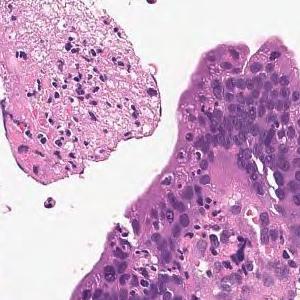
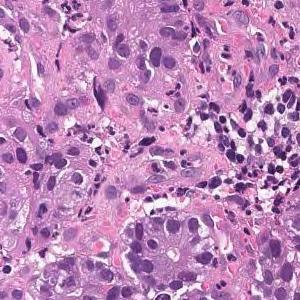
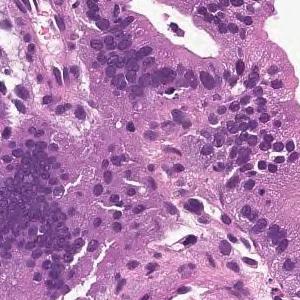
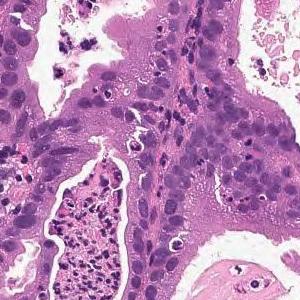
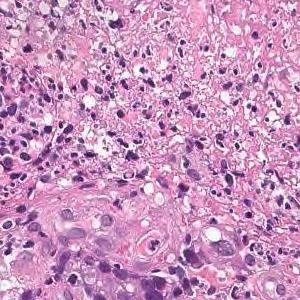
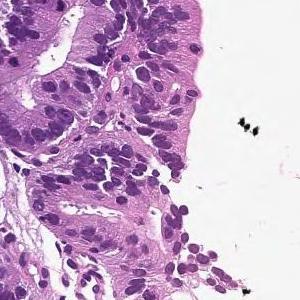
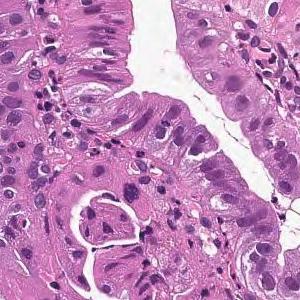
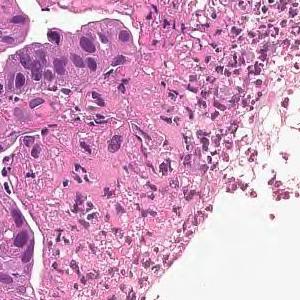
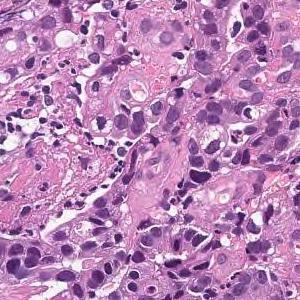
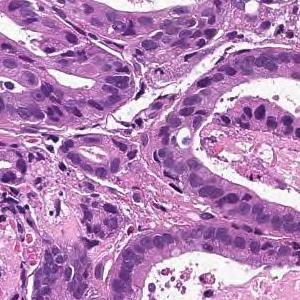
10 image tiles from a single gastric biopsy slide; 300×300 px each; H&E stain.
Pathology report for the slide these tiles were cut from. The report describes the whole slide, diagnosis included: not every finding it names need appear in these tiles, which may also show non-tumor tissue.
From the superficial epithelium to the muscularis mucosae, tumor tissue consisting of medium-sized and irregular glandular ducts infiltrating is observed. Well differentiated tubular adenocarcinoma
